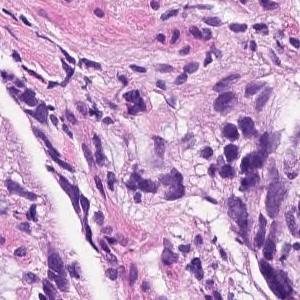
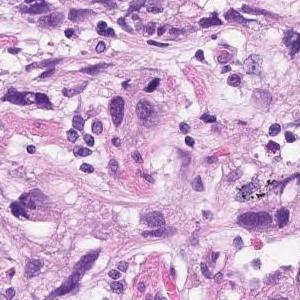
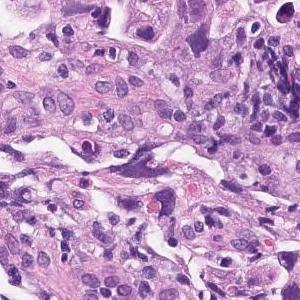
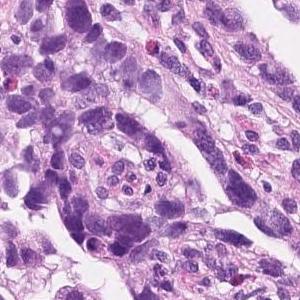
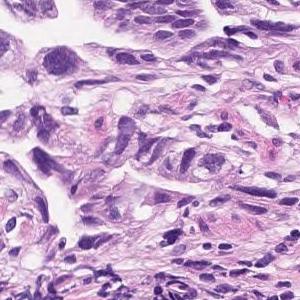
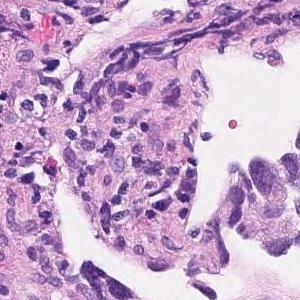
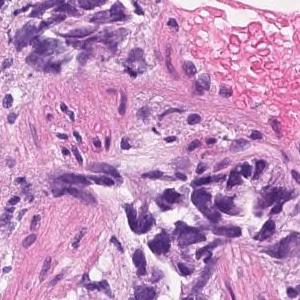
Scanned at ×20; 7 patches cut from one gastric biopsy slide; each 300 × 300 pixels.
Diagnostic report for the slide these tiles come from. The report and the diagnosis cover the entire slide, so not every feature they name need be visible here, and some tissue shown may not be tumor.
In the superficial epithelium, tumor tissue that invades by forming medium-sized to small, irregular ducts is observed. Moderately differentiated adenocarcinoma.
Classified as moderately differentiated tubular adenocarcinoma.
